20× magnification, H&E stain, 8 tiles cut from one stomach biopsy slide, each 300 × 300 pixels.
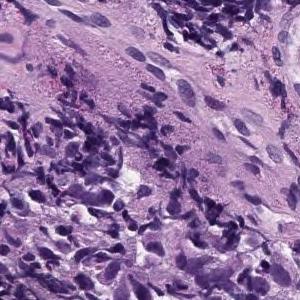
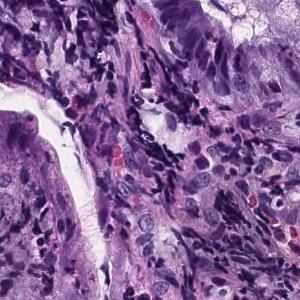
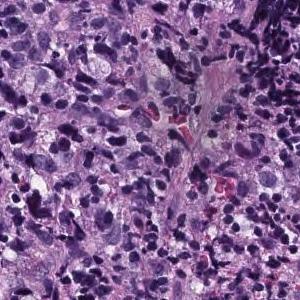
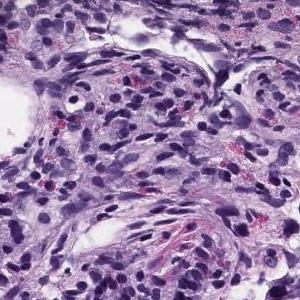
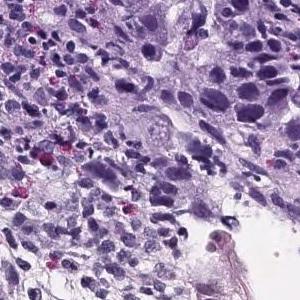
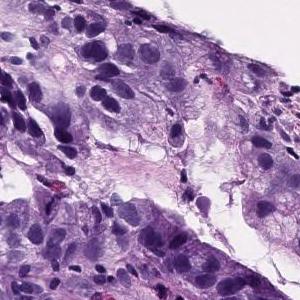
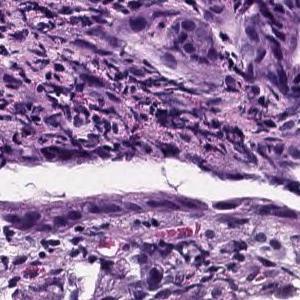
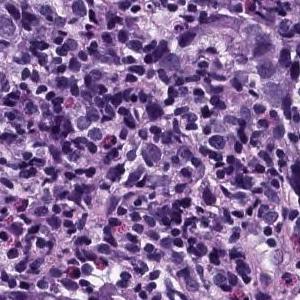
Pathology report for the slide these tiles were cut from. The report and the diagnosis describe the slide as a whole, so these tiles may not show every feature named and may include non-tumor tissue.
Atypical epithelial cells infiltrating and proliferating while forming solid or cord-like fused glandular cavities of different sizes is observed. moderately differentiated tubular adenocarcinoma, poorly differentiated adenocarcinoma.
Classified as moderately to poorly differentiated adenocarcinoma.
